H&E; 20× magnification; 10 tiles from the same stomach biopsy slide.
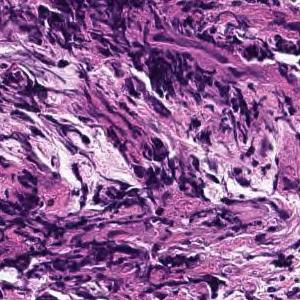
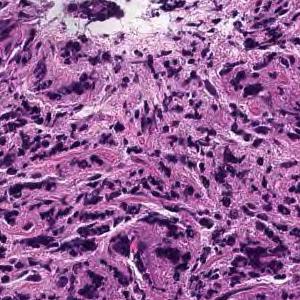
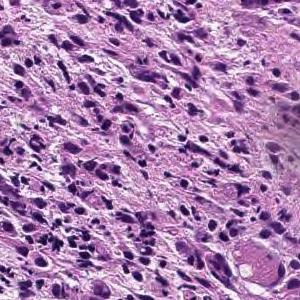
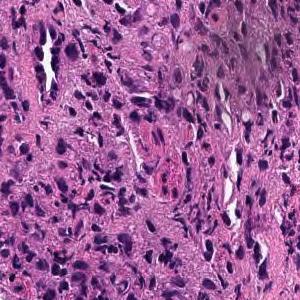
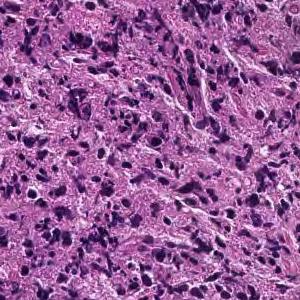
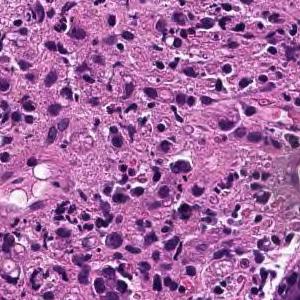
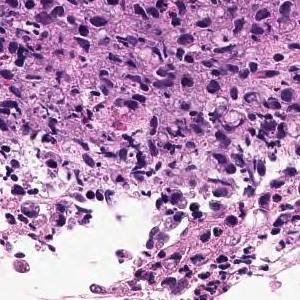
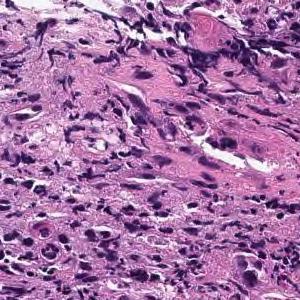
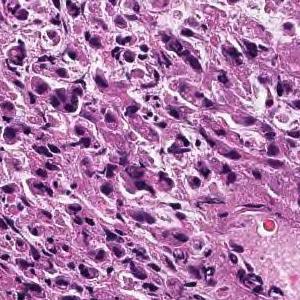
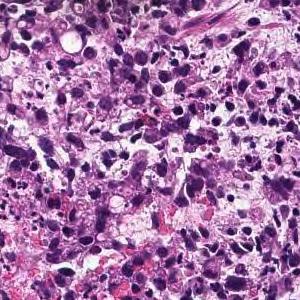
Report on the slide these tiles come from. What the report and the diagnosis say applies to the whole slide; these tiles may miss some of the features named and may include tissue that is not tumor.
Large sheet-like or diffusely infiltrating tumor tissue is found in the superficial epithelium. Poorly differentiated adenocarcinoma, solid-type
Histological subtype: Poorly differentiated adenocarcinoma, solid type. This name comes from the Japanese Classification of Gastric Carcinoma; the WHO 2019 classification calls it tubular adenocarcinoma, poorly differentiated.
